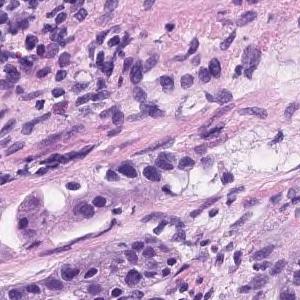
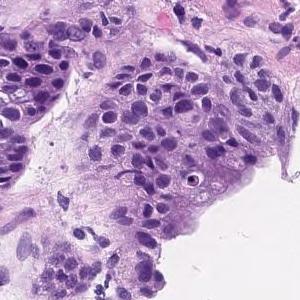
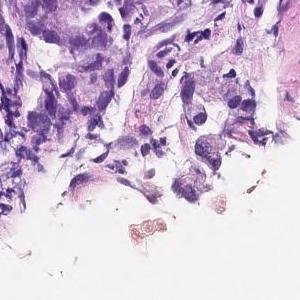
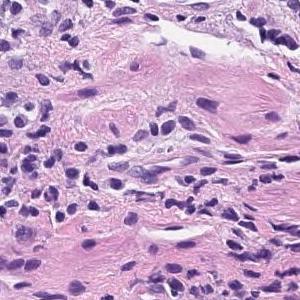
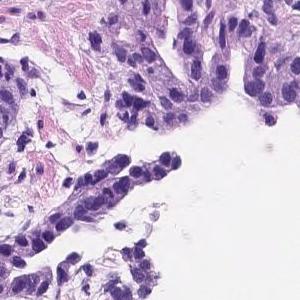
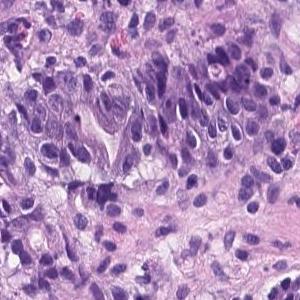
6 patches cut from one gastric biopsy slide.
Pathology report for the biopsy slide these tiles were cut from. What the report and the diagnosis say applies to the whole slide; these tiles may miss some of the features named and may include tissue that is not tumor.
Tumor tissue consisting of medium-sized and irregular ducts is observed infiltrating in the superficial epithelium. Tumor cells are highly columnar, with nuclei aligned basolaterally and polarized. Well differentiated tubular adenocarcinoma.
